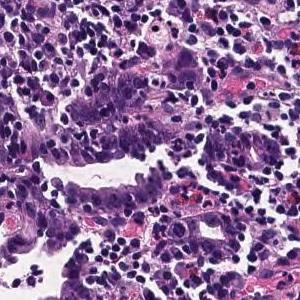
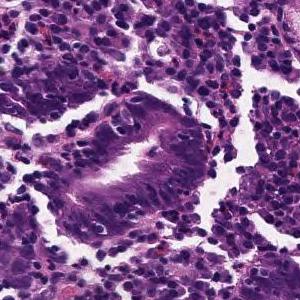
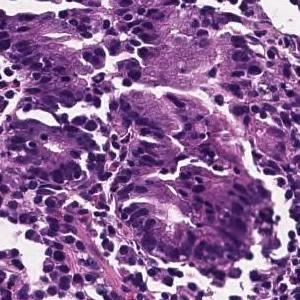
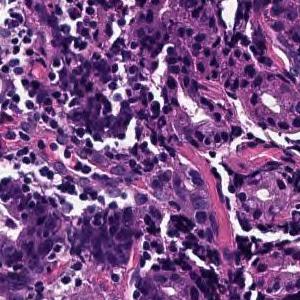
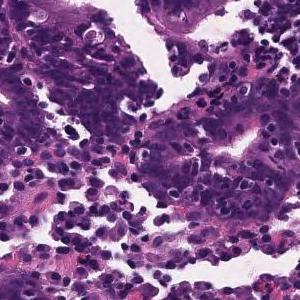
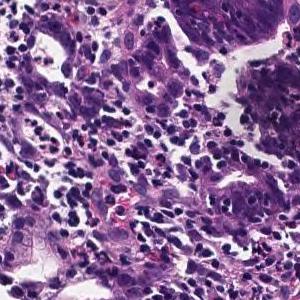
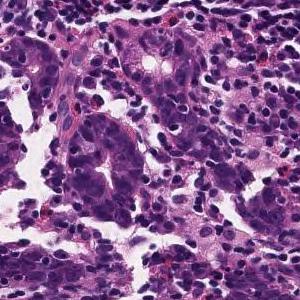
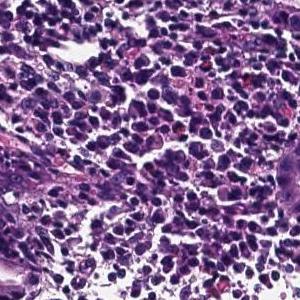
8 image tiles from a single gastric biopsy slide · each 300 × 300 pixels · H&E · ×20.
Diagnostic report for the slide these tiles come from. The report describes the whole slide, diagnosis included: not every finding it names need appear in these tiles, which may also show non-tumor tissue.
Tumor tissue consisting of medium-sized, cord-like or irregular glandular infiltration is observed in the superficial epithelium. Poorly differentiated adenocarcinoma, non-solid type or moderately differentiated tubular adenocarcinoma
Histologic type: Moderately to poorly differentiated adenocarcinoma.
The term "non-solid type" comes from the Japanese Classification of Gastric Carcinoma.
